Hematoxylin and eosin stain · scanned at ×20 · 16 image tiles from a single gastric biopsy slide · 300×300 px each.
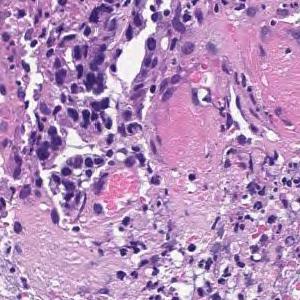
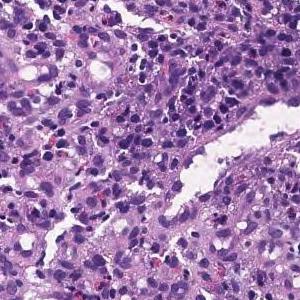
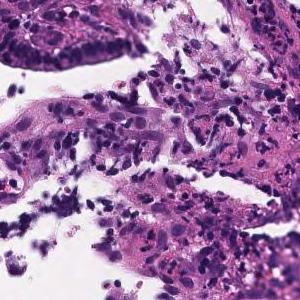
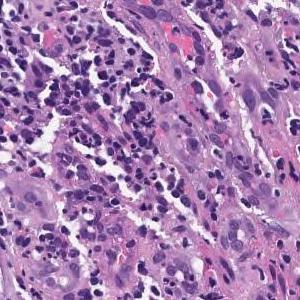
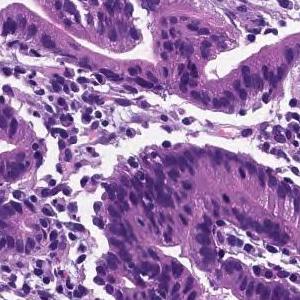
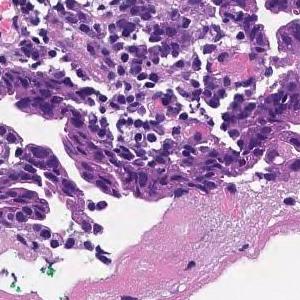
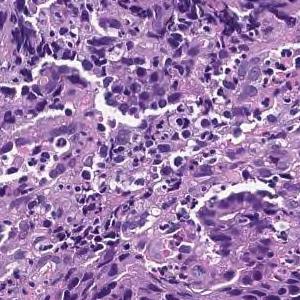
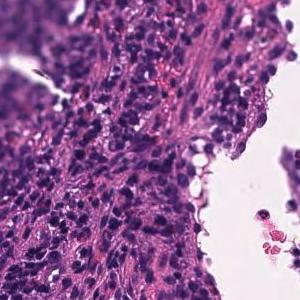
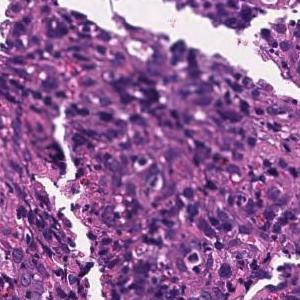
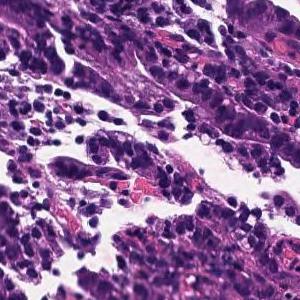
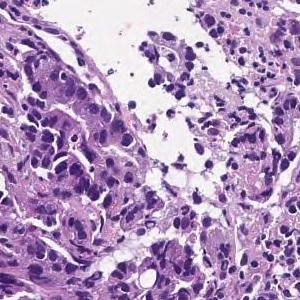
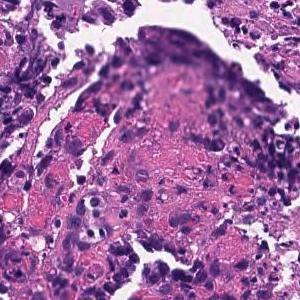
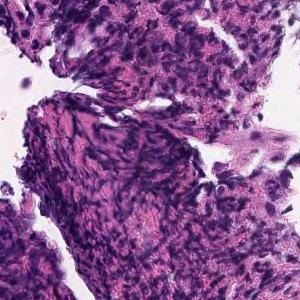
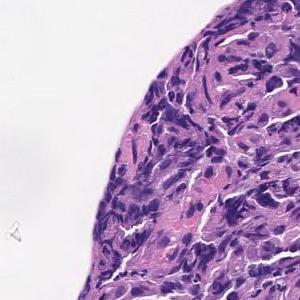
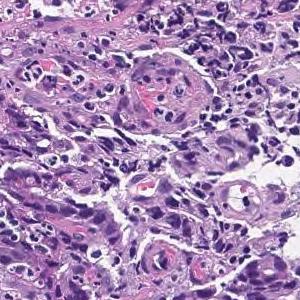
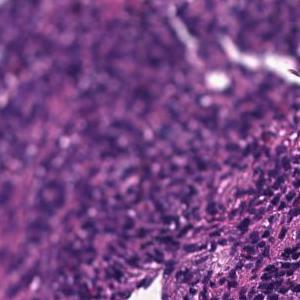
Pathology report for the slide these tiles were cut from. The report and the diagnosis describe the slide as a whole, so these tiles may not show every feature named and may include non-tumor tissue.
On the superficial epithelium, tumor tissue consisting of large irregular glandular ducts partially fused and infiltrated is observed. Well to moderately differentiated tubular adenocarcinoma (well differentiated tubular adenocarcinoma, moderately differentiated tubular adenocarcinoma)
Histologic type: Well to moderately differentiated tubular adenocarcinoma.
